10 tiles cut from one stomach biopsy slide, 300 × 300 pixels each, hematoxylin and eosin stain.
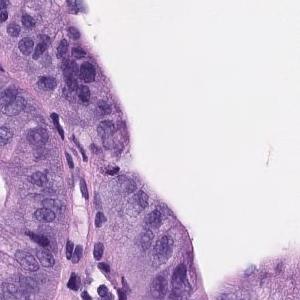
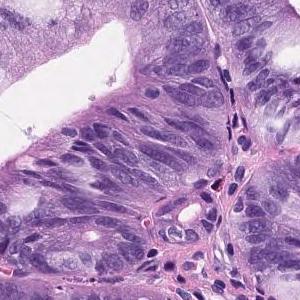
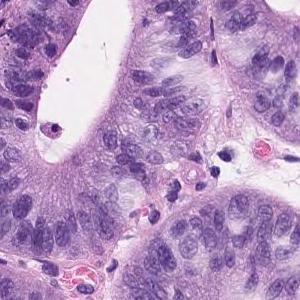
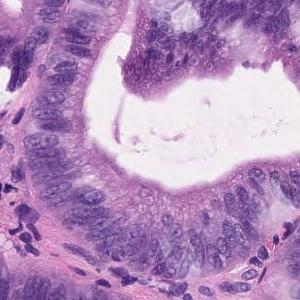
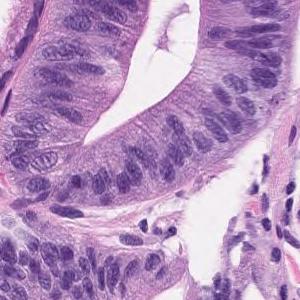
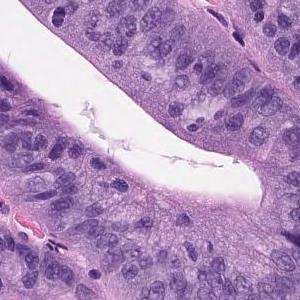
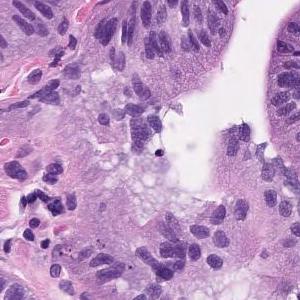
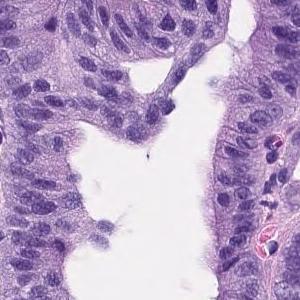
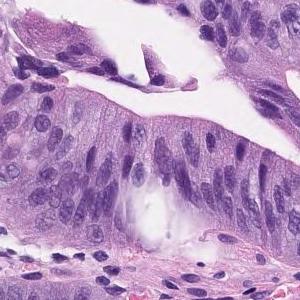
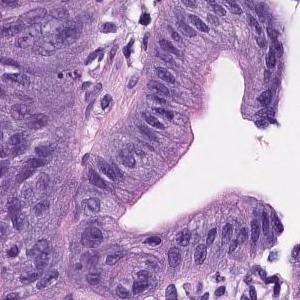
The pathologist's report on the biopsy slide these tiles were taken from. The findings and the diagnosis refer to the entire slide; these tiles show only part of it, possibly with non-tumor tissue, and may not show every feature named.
On the superficial epithelium, tumor tissue consisting of images of atypical ducts of different sizes partially fused and densely proliferating is observed. Well differentiated tubular adenocarcinoma
